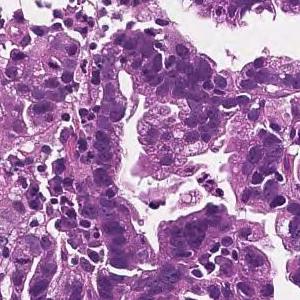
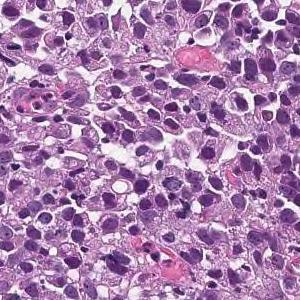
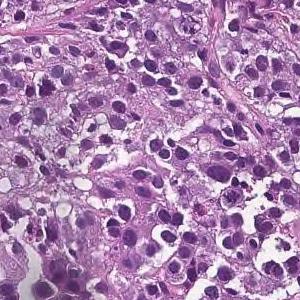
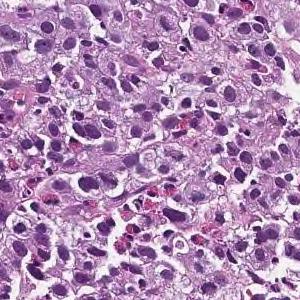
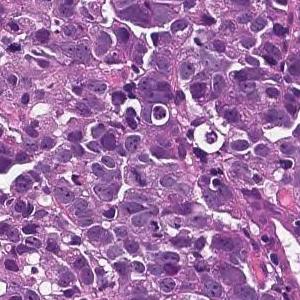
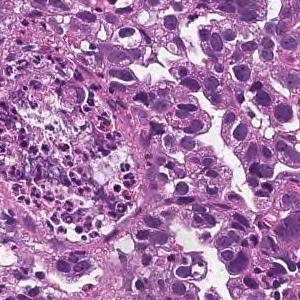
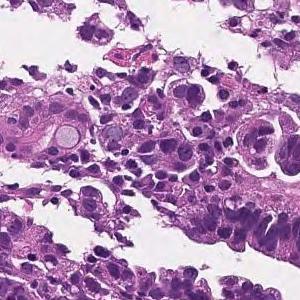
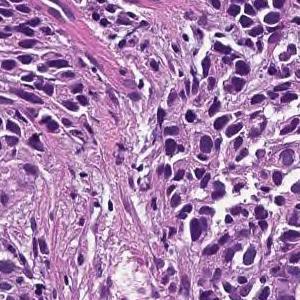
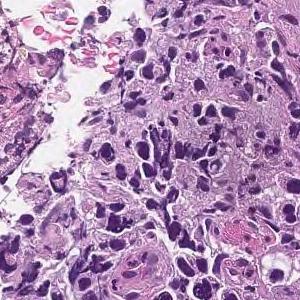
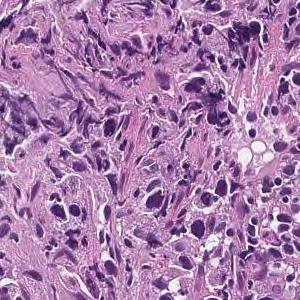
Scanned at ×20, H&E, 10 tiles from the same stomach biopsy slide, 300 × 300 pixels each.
Diagnostic report for the slide these tiles come from. The report and the diagnosis describe the slide as a whole, so these tiles may not show every feature named and may include non-tumor tissue.
The superficial epithelium shows a large sheet-like shape, and some tumor tissue infiltrates with small irregular ducts. Poorly differentiated adenocarcinoma, solid-type
Classified as poorly differentiated adenocarcinoma, solid type (Japanese Classification of Gastric Carcinoma). The WHO 2019 equivalent is tubular adenocarcinoma, poorly differentiated.
